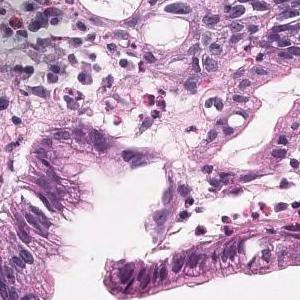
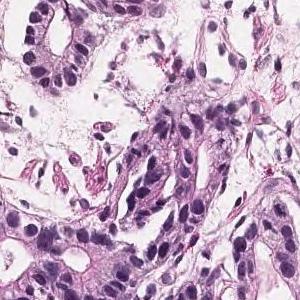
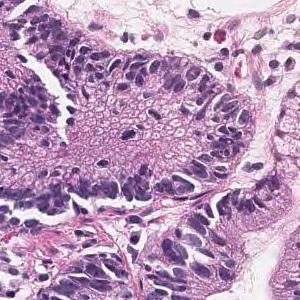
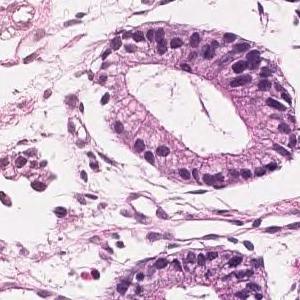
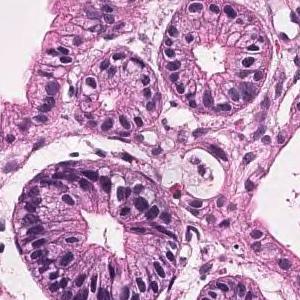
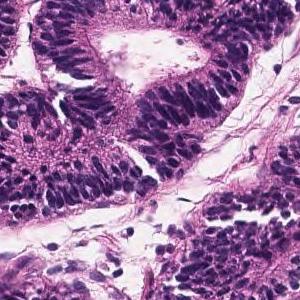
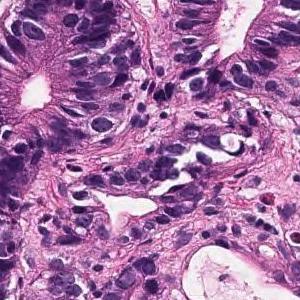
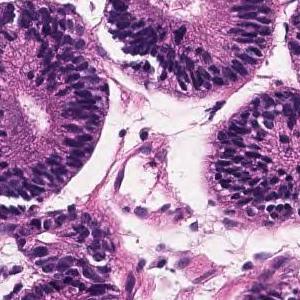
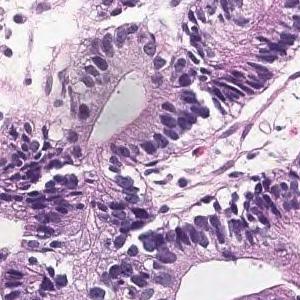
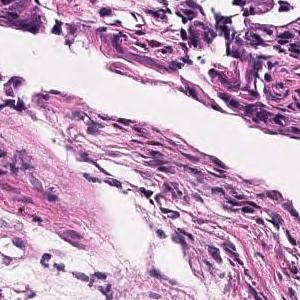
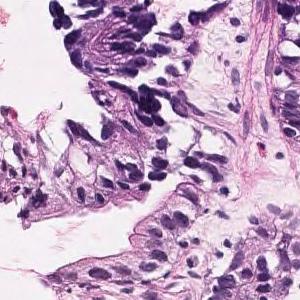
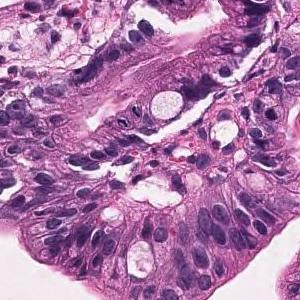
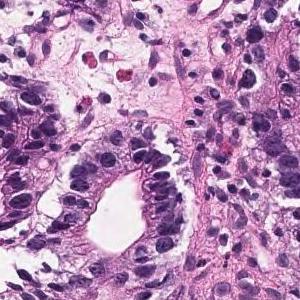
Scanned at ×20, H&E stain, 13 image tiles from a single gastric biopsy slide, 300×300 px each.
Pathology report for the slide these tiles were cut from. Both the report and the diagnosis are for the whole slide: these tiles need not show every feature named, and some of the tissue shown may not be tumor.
Tumor tissue in which medium to small irregular ducts infiltrate and proliferate in the submucosa can be seen in the epithelium. Well differentiated tubular adenocarcinoma
